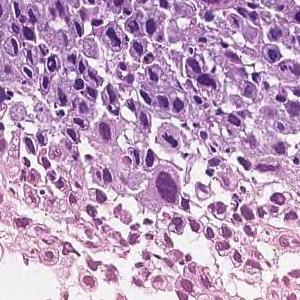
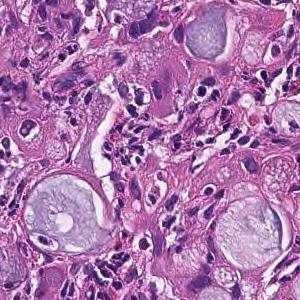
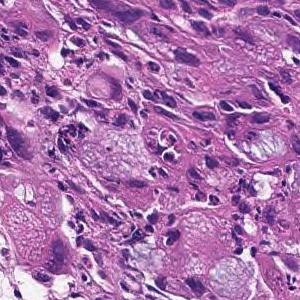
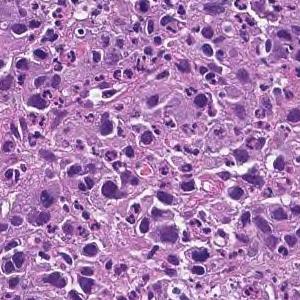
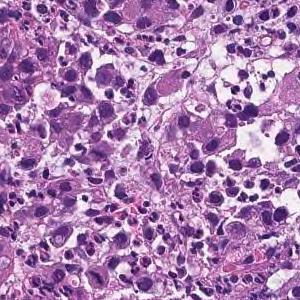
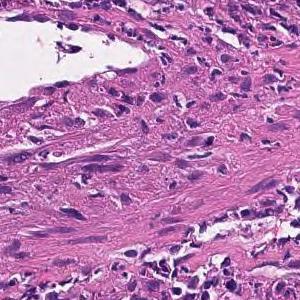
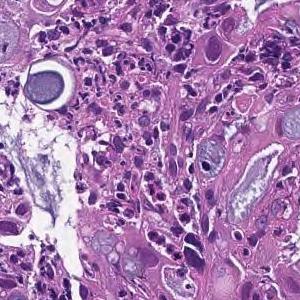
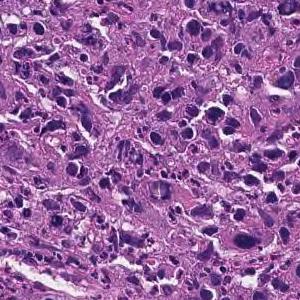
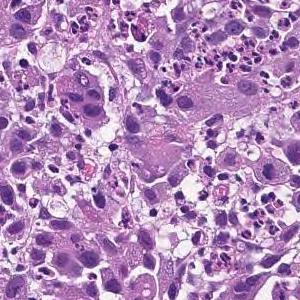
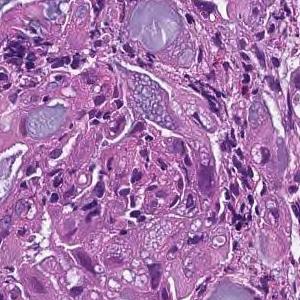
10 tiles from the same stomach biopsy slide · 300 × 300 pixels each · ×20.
Diagnostic report for the slide these tiles come from. The report describes the whole slide, diagnosis included: not every finding it names need appear in these tiles, which may also show non-tumor tissue.
The superficial epithelium shows a large sheet-like shape, and some tumor tissue infiltrates with small irregular ducts. Poorly differentiated adenocarcinoma, solid-type
Histological subtype: Poorly differentiated adenocarcinoma, solid type (Japanese Classification of Gastric Carcinoma). The WHO 2019 equivalent is tubular adenocarcinoma, poorly differentiated.
